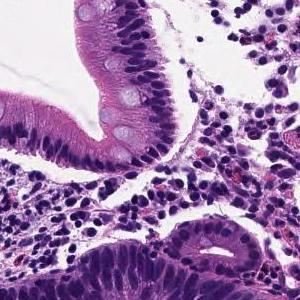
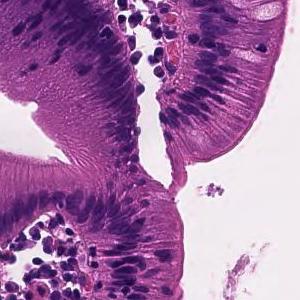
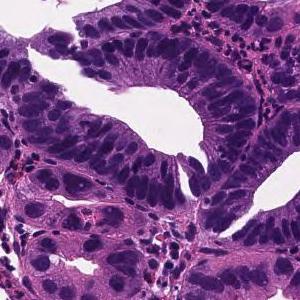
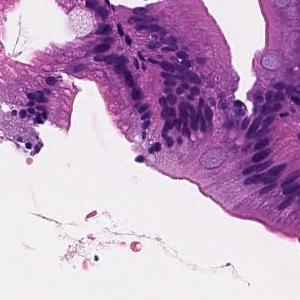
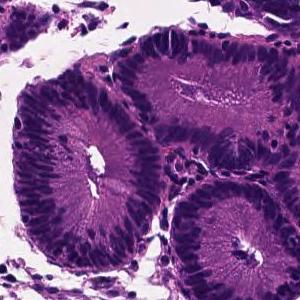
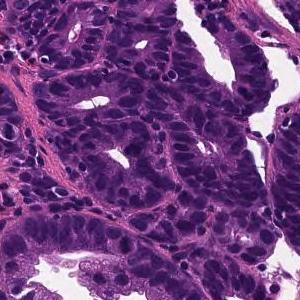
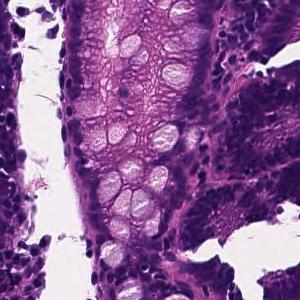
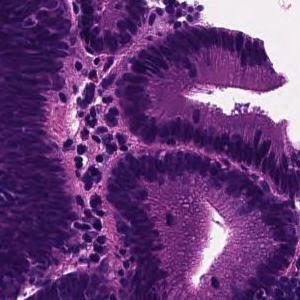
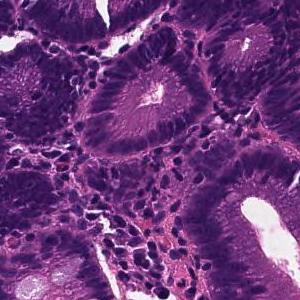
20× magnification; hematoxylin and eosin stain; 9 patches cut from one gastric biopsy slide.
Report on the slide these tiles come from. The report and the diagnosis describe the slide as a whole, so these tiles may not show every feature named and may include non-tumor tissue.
Tumor tissue in which medium to small irregular ducts infiltrate and proliferate in the submucosa can be seen in the epithelium. Well differentiated tubular adenocarcinoma
